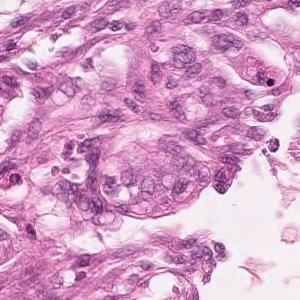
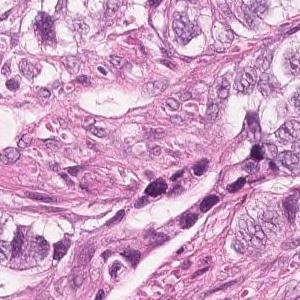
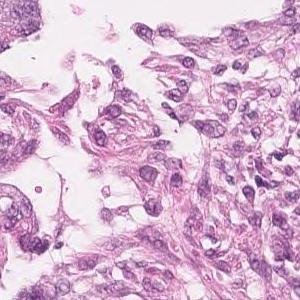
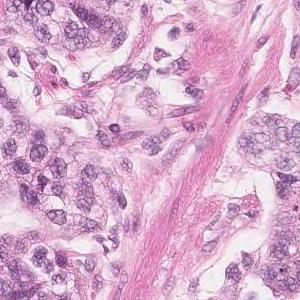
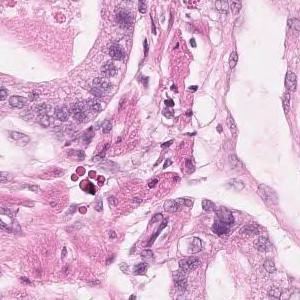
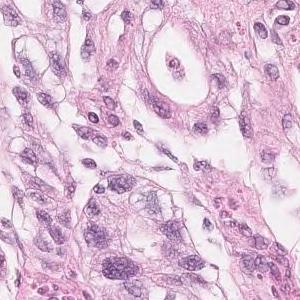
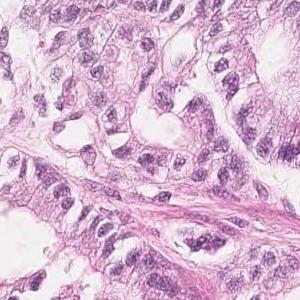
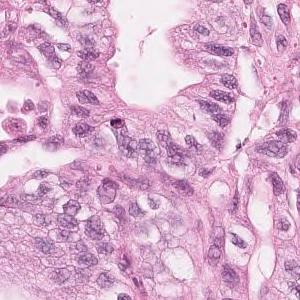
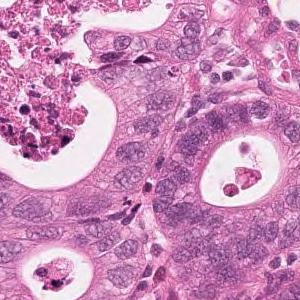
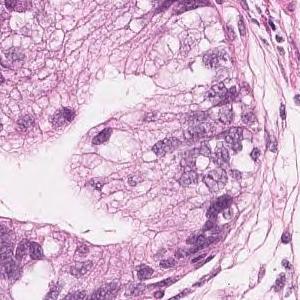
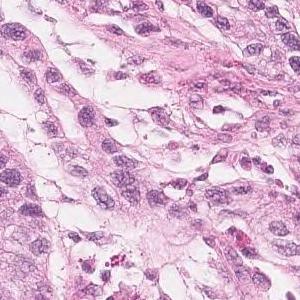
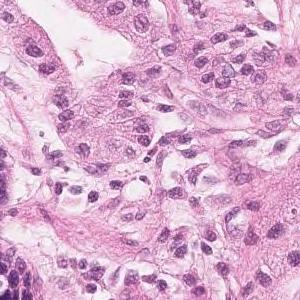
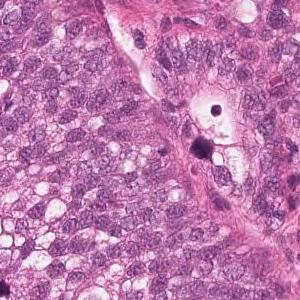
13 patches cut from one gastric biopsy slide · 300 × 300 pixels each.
Diagnostic report for the slide these tiles come from. What the report and the diagnosis say applies to the whole slide; these tiles may miss some of the features named and may include tissue that is not tumor.
Highly columnar epithelium with disordered nuclear localization proliferates showing fusion ductal construction. moderately differentiated tubular adenocarcinoma
